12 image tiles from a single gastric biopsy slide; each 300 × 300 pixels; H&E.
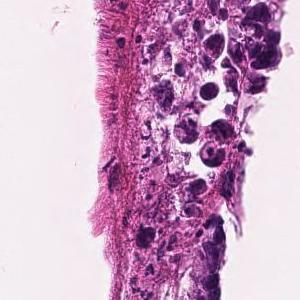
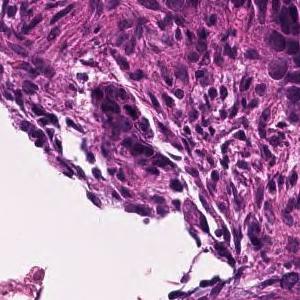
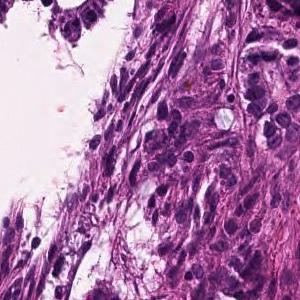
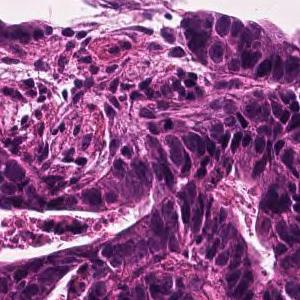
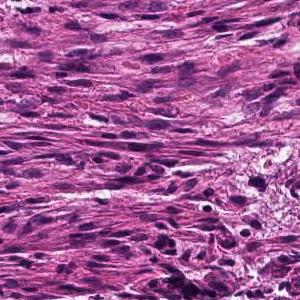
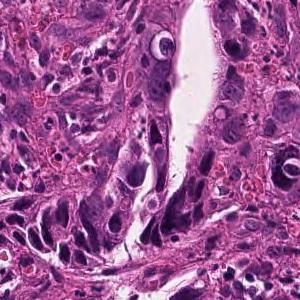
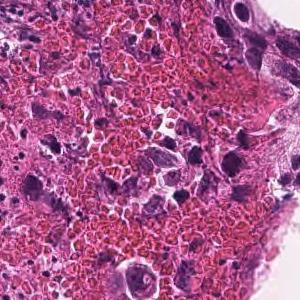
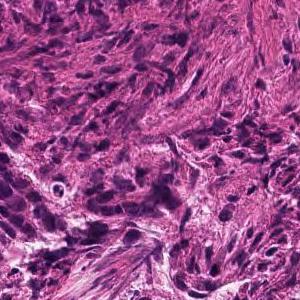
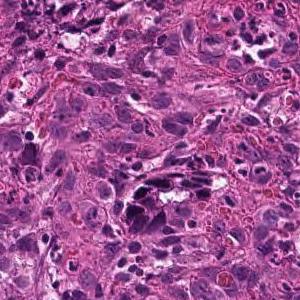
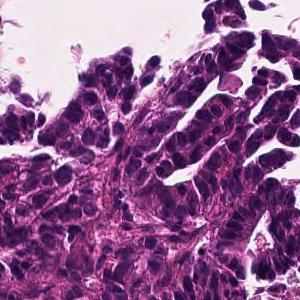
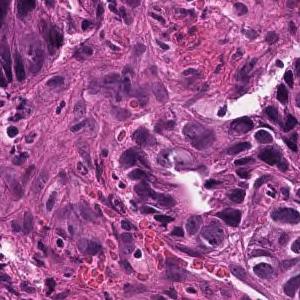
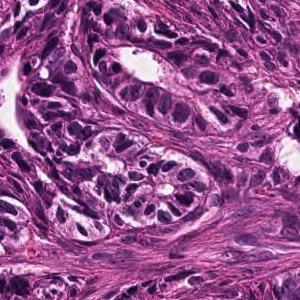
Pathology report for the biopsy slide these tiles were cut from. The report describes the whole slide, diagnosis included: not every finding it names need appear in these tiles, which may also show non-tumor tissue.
In the superficial epithelium, tumor tissue that invades by forming medium-sized to small, irregular ducts is observed. moderately differentiated tubular adenocarcinoma.
